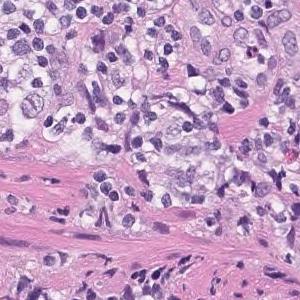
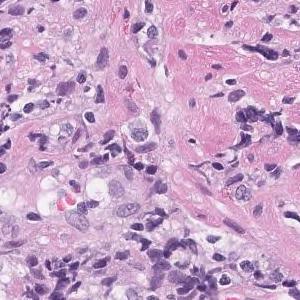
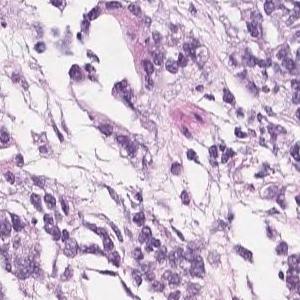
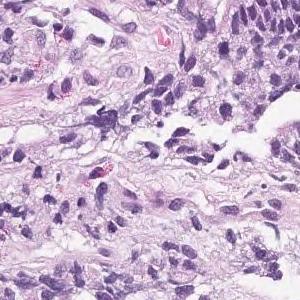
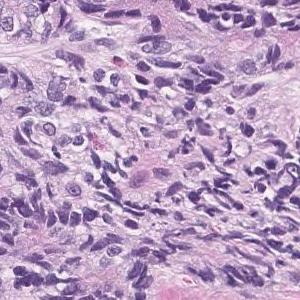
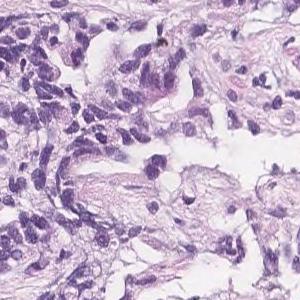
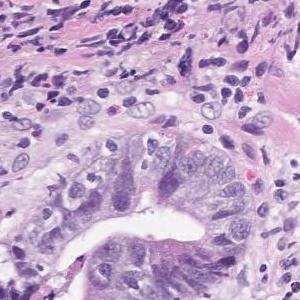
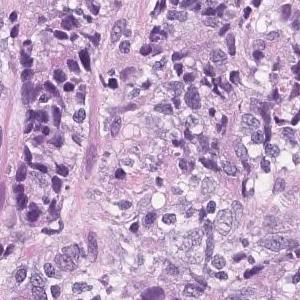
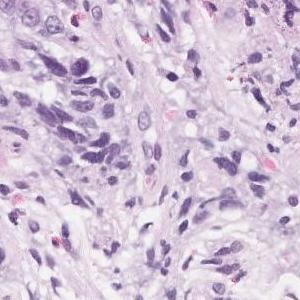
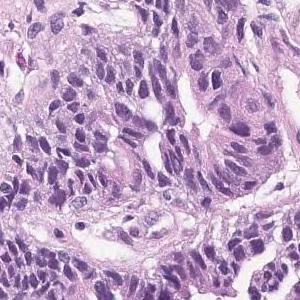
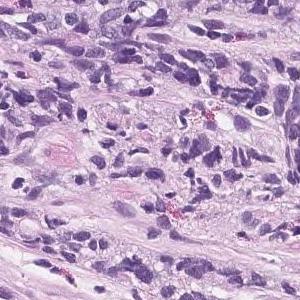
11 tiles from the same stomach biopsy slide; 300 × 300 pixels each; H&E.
Diagnostic report for the slide these tiles come from. The report and the diagnosis describe the slide as a whole, so these tiles may not show every feature named and may include non-tumor tissue.
Highly columnar epithelium with disordered nuclear localization proliferates showing fusion ductal construction. moderately differentiated tubular adenocarcinoma
